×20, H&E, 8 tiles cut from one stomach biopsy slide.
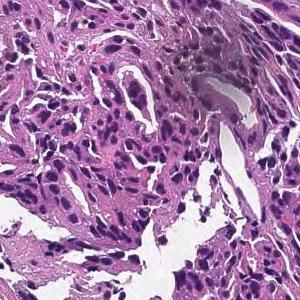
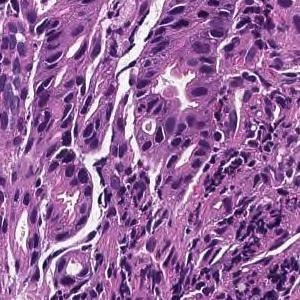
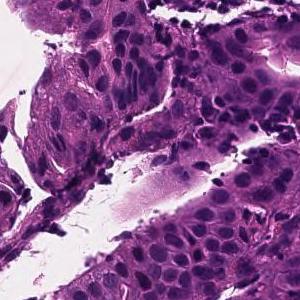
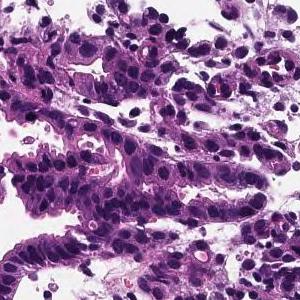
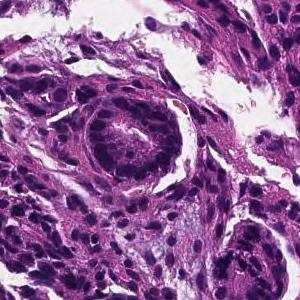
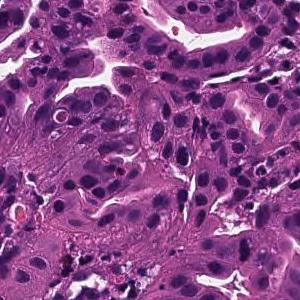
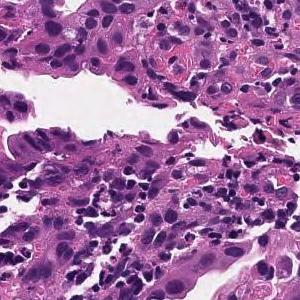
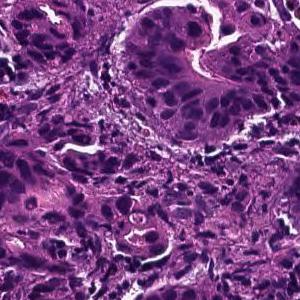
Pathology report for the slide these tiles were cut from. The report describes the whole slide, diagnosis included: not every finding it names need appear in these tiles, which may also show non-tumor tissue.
In the superficial epithelium, tumor tissue that invades by forming medium-sized to small, irregular ducts is observed. moderately differentiated tubular adenocarcinoma.
